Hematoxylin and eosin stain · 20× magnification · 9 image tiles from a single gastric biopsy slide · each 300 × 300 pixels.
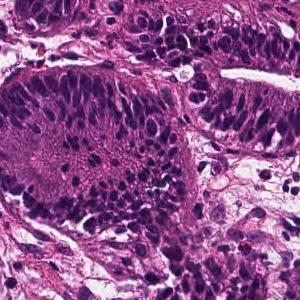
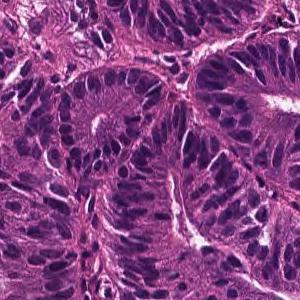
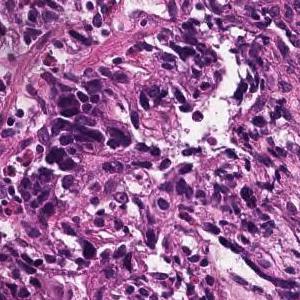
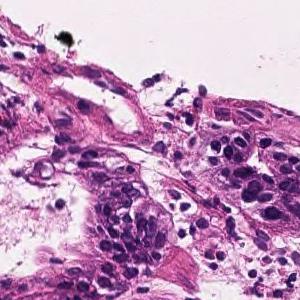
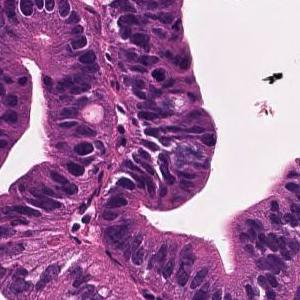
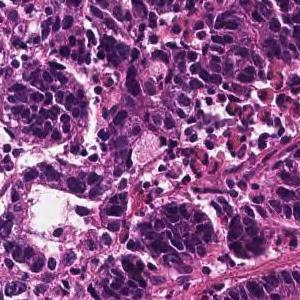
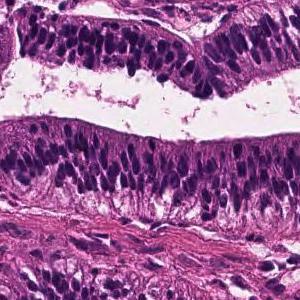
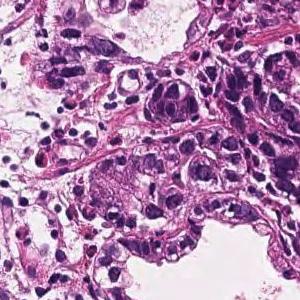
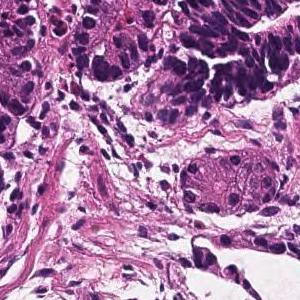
The pathologist's report on the biopsy slide these tiles were taken from. The findings and the diagnosis refer to the entire slide; these tiles show only part of it, possibly with non-tumor tissue, and may not show every feature named.
A large irregular tubular structure is exhibited in the epithelium, and tumor tissue that partially fuses and infiltrates and proliferates is observed. Large columnar tumor cells exhibit enlarged nucleus, hyperchromatism, and mitotic figures. Well differentiated tubular adenocarcinoma
